12 tiles from the same stomach biopsy slide, each 300 × 300 pixels, ×20, H&E stain.
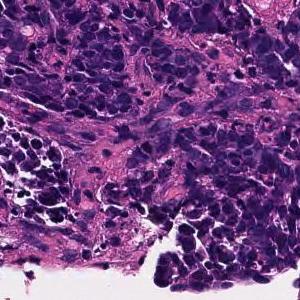
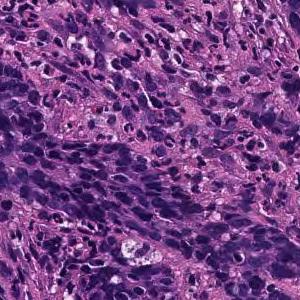
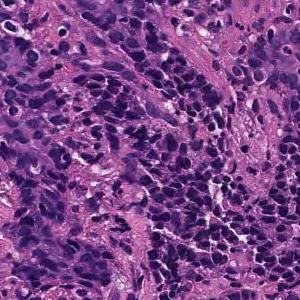
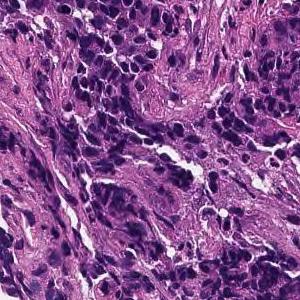
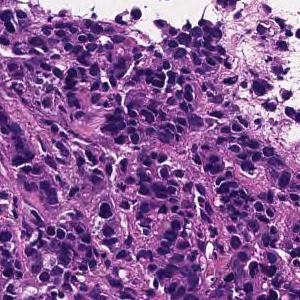
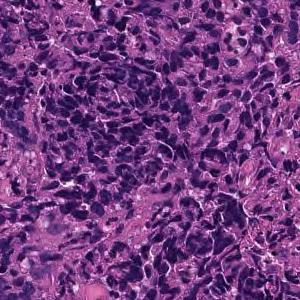
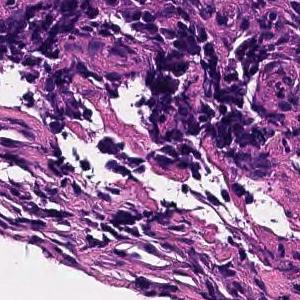
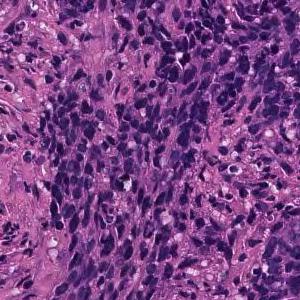
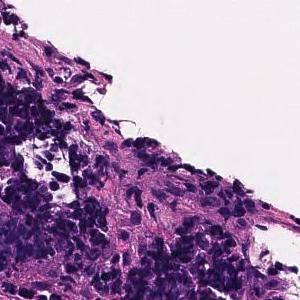
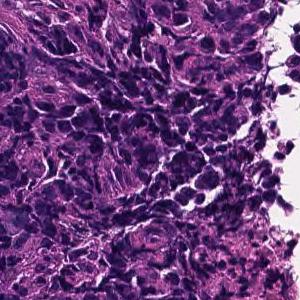
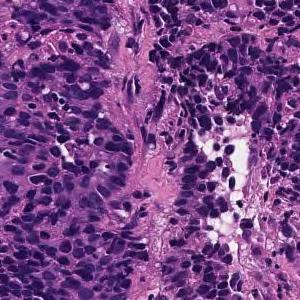
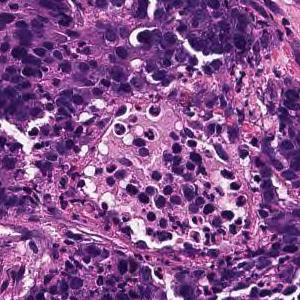
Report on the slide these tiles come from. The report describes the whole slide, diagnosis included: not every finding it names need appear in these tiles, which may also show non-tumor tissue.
Tumor tissue consisting of cord-like or small, irregular glandular ducts fused and infiltrated is observed in the superficial epithelium. Poorly differentiated adenocarcinoma, non-solid type
"Non-solid type" is a category of the Japanese Classification of Gastric Carcinoma.
